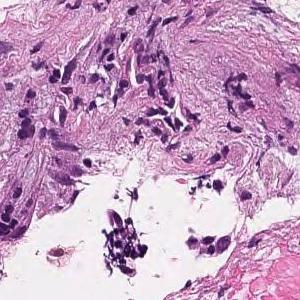
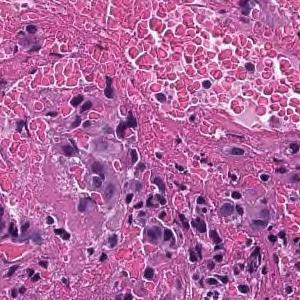
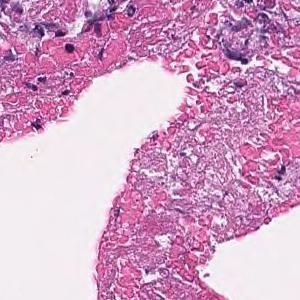
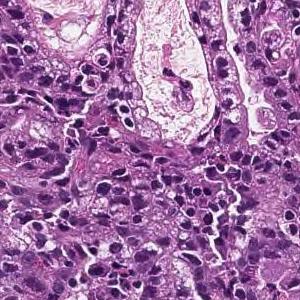
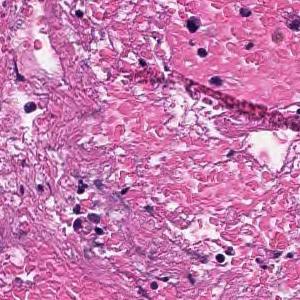
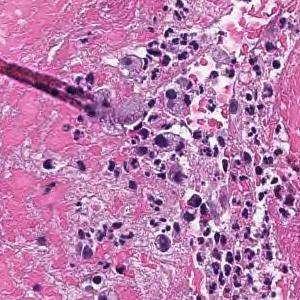
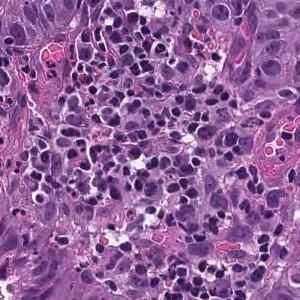
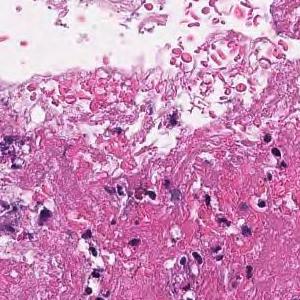
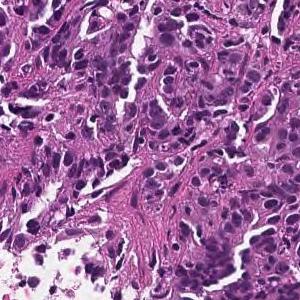
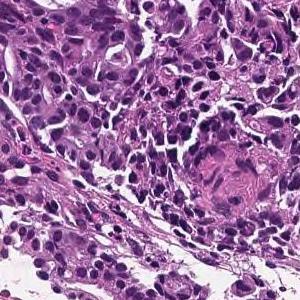
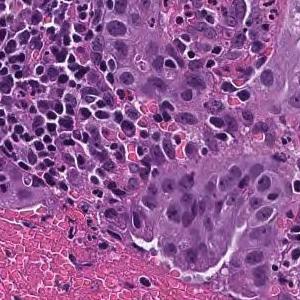
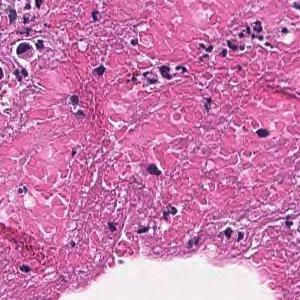
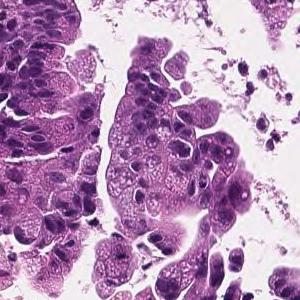
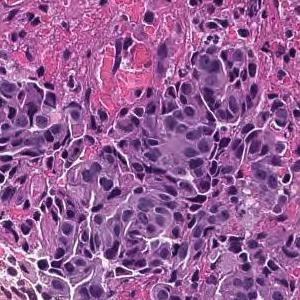
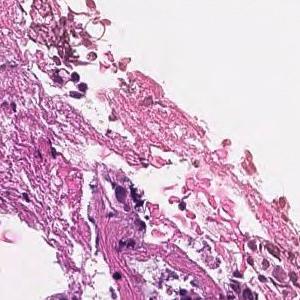
15 tiles from the same stomach biopsy slide · 300×300 px each · scanned at ×20 · H&E stain.
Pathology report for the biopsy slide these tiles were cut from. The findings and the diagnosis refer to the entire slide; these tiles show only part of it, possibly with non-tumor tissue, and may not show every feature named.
On the superficial epithelium, tumor tissue that infiltrates by forming medium-sized papillary or small irregular ducts is observed. Papillary adenocarcinoma
